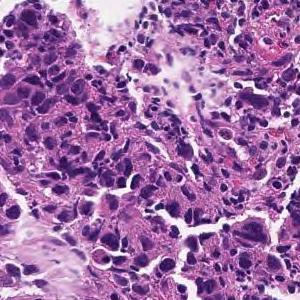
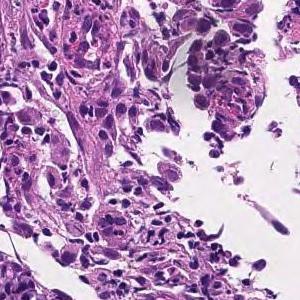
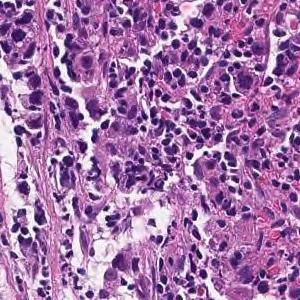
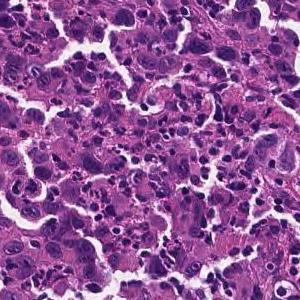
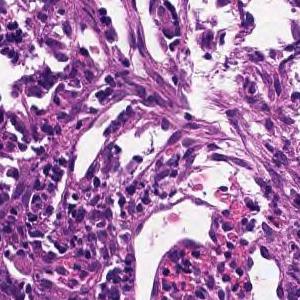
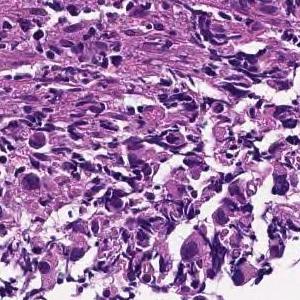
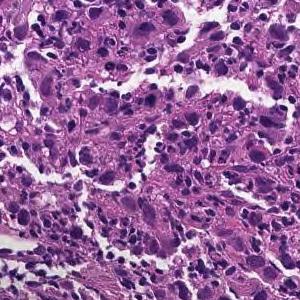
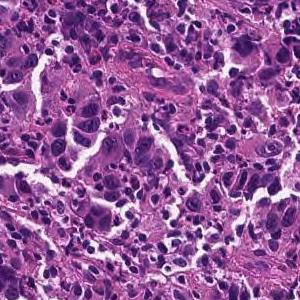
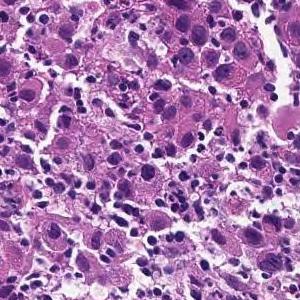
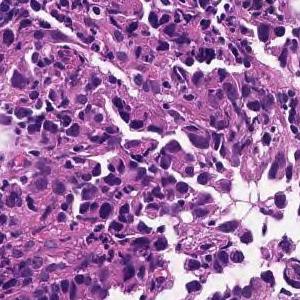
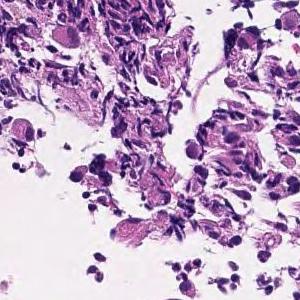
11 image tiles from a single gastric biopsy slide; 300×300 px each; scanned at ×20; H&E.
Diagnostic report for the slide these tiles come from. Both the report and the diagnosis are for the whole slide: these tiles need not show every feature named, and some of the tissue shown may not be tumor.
The superficial epithelium shows a large sheet-like shape, and some tumor tissue infiltrates with small irregular ducts. Poorly differentiated adenocarcinoma, solid-type (poorly differentiated adenocarcinoma, solid type)
Histological subtype: Poorly differentiated adenocarcinoma, solid type (Japanese Classification of Gastric Carcinoma). The WHO 2019 equivalent is tubular adenocarcinoma, poorly differentiated.
